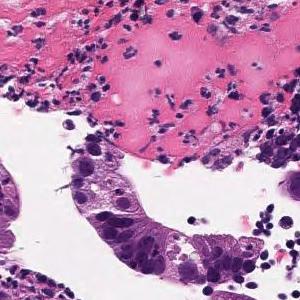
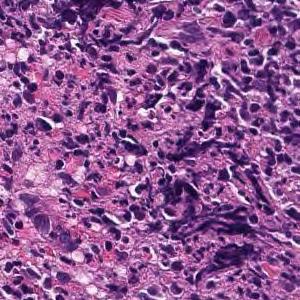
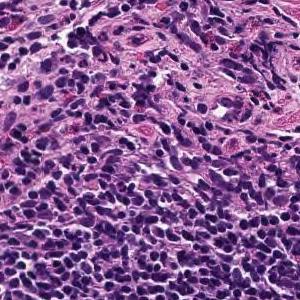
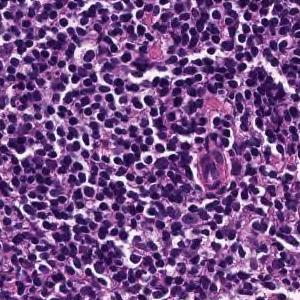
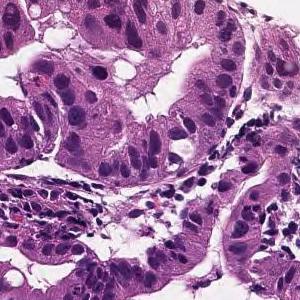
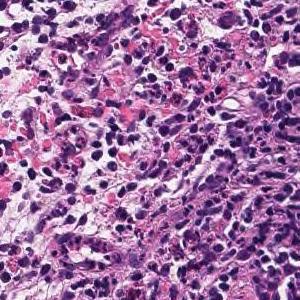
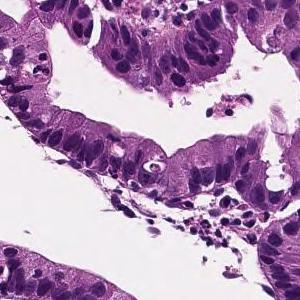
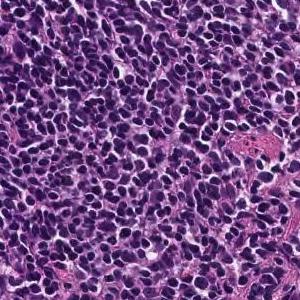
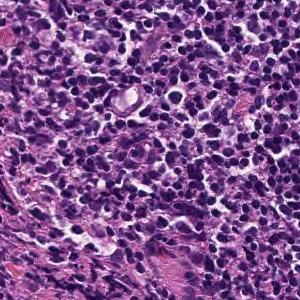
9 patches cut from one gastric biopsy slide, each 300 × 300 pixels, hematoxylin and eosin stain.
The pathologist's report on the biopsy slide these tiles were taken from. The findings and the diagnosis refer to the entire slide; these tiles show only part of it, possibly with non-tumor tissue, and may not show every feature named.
From the superficial epithelium to the muscularis mucosae, tumor tissue consisting of medium-sized and irregular glandular ducts infiltrating is observed. Well differentiated tubular adenocarcinoma
